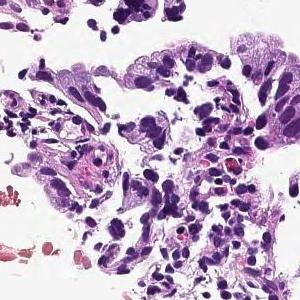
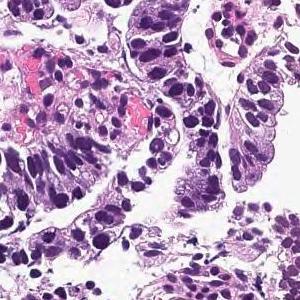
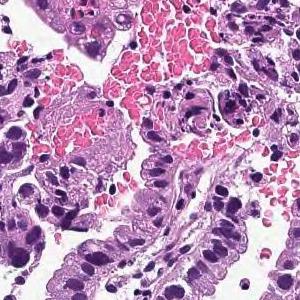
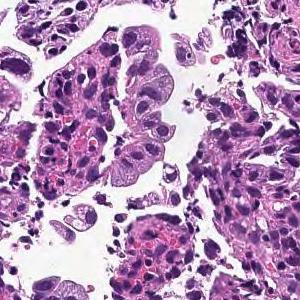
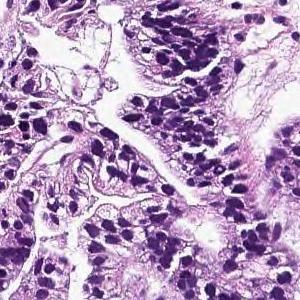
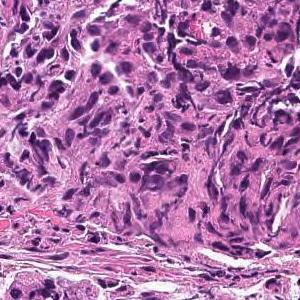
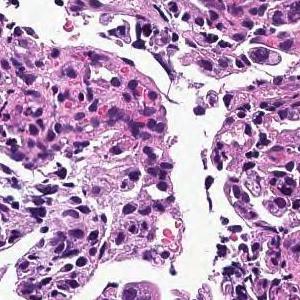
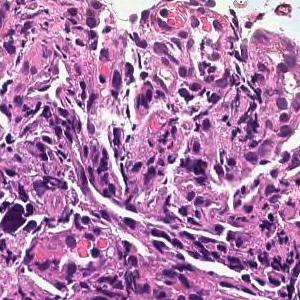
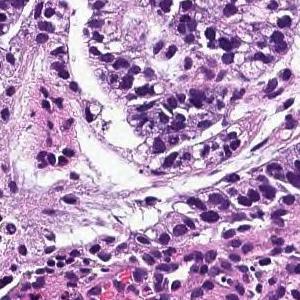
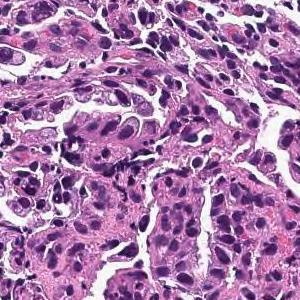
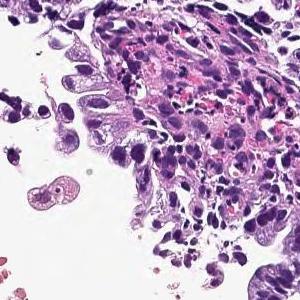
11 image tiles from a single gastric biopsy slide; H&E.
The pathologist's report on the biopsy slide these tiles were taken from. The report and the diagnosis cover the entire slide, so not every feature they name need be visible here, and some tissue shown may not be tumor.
On the superficial epithelium, tumor tissue that infiltrates by forming medium-sized papillary or small irregular ducts is observed. Papillary adenocarcinoma
